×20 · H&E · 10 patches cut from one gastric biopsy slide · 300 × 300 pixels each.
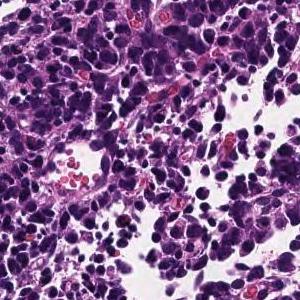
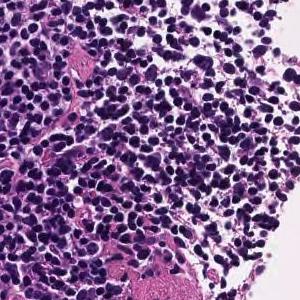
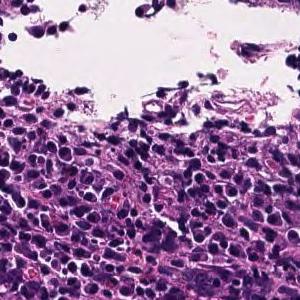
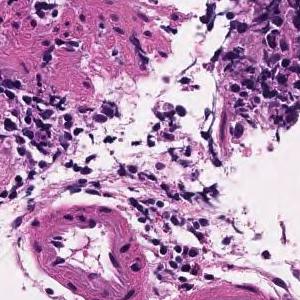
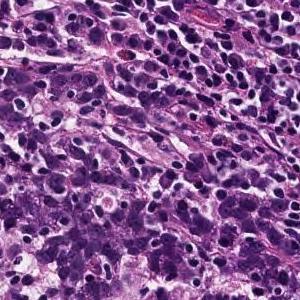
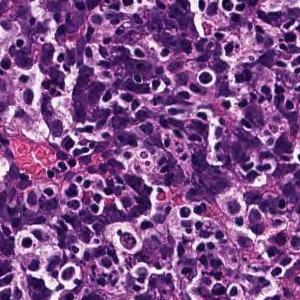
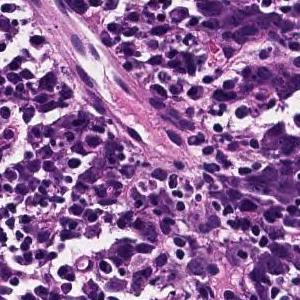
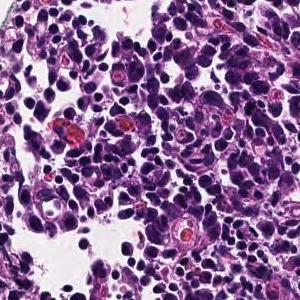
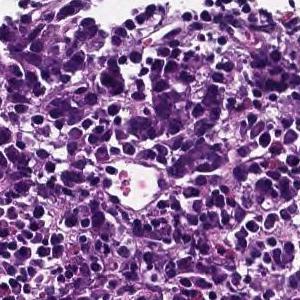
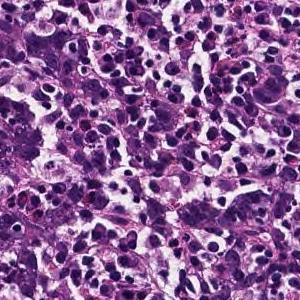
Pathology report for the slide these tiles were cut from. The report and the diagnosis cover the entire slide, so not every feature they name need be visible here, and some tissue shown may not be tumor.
Tumor tissue consisting of cord-like or small, irregular glandular ducts fused and infiltrated is observed in the superficial epithelium. Poorly differentiated adenocarcinoma, non-solid type
The non-solid type named here is a Japanese Classification of Gastric Carcinoma category.
